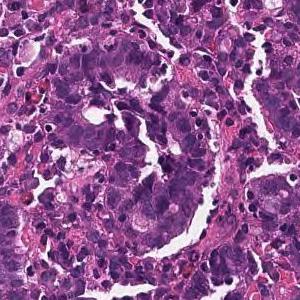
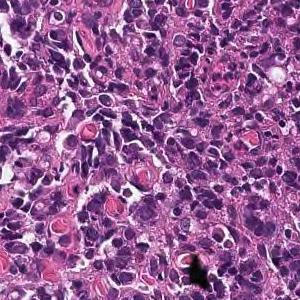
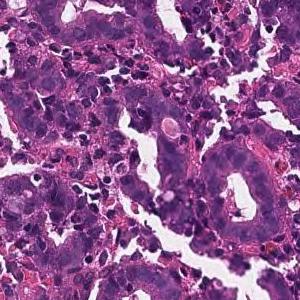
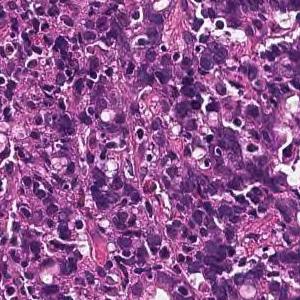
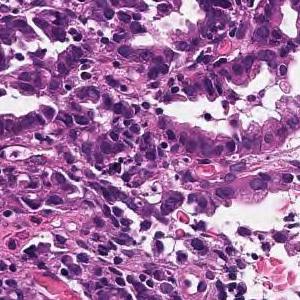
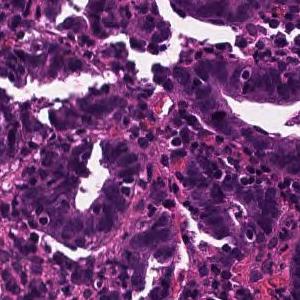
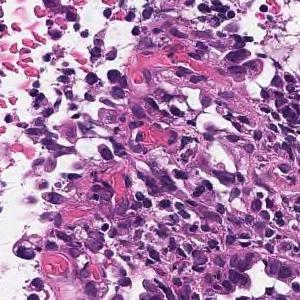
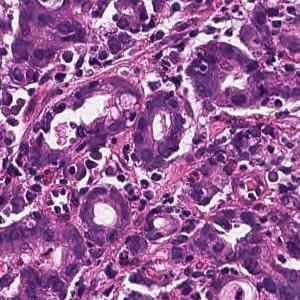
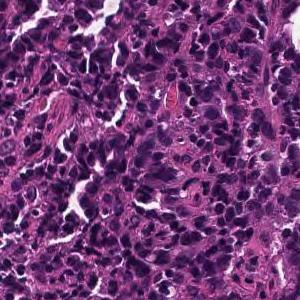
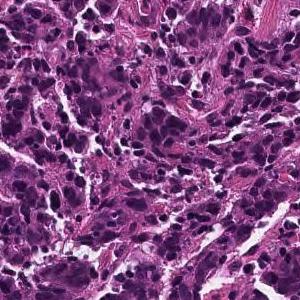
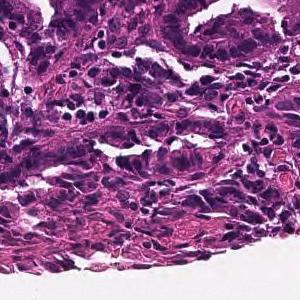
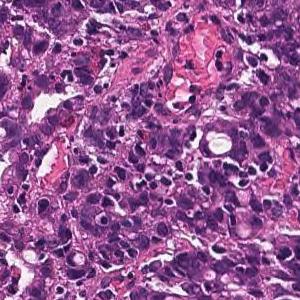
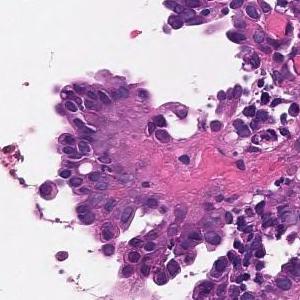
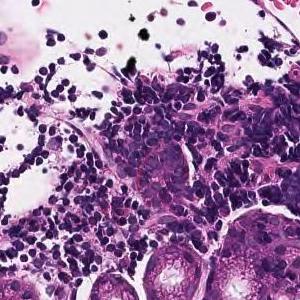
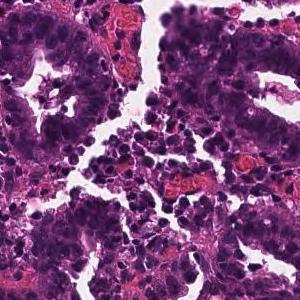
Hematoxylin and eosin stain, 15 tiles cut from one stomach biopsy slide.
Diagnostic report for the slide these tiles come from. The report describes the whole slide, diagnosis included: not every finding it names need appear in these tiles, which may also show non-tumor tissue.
In the superficial epithelium, tumor tissue that invades by forming medium-sized to small, irregular ducts is observed. moderately differentiated tubular adenocarcinoma.
